H&E · 8 patches cut from one gastric biopsy slide · 300 × 300 pixels each.
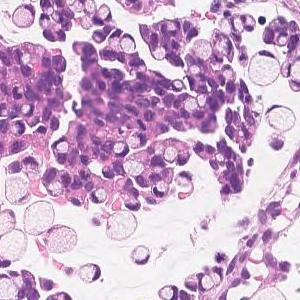
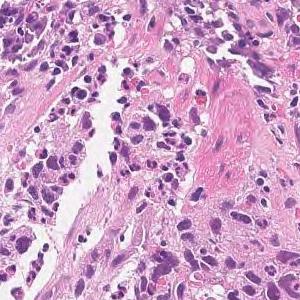
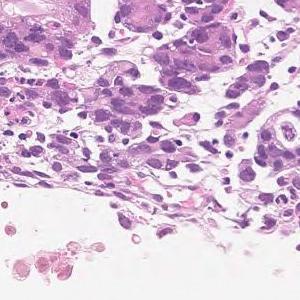
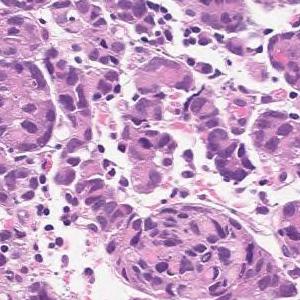
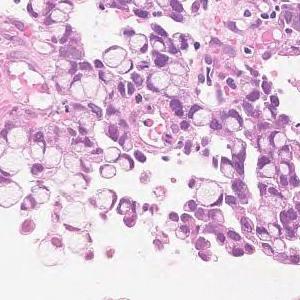
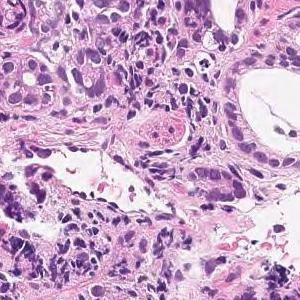
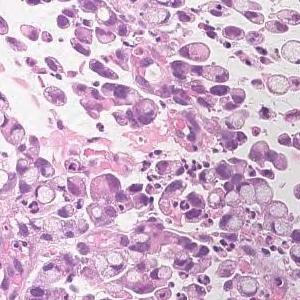
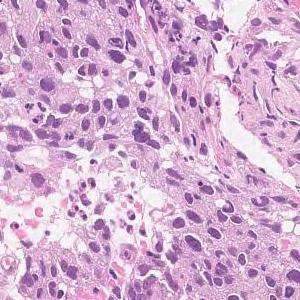
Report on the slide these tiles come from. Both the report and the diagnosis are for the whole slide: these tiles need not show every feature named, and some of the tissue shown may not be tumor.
Medium to small, irregular glandular ducts are formed in the superficial epithelium, and in some cases, the glandular ducts are fused to show solid alveolar lesions and infiltrating tumor tissue is observed. Moderately to poorly differentiated adenocarcinoma.
